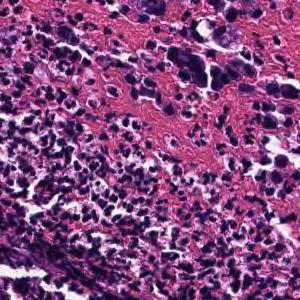
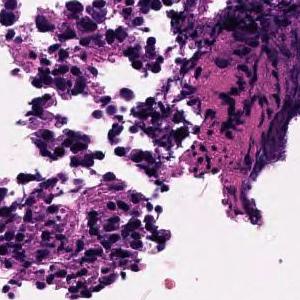
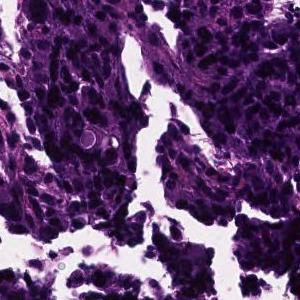
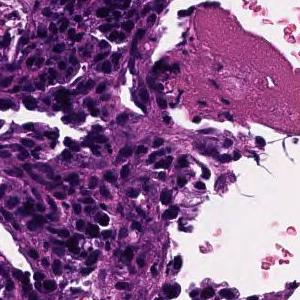
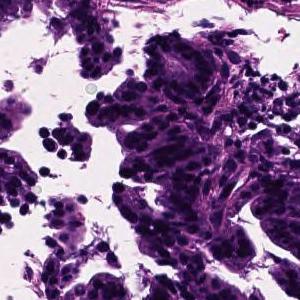
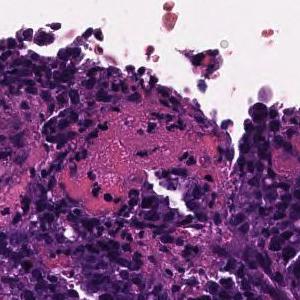
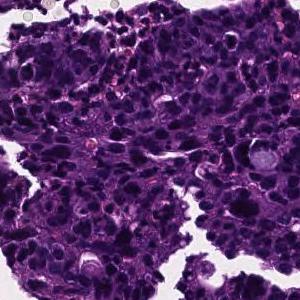
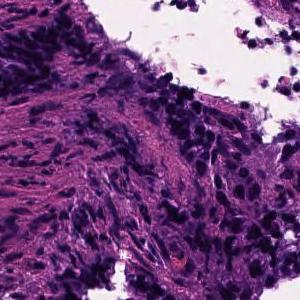
8 image tiles from a single gastric biopsy slide; 300×300 px each; H&E; 20× magnification.
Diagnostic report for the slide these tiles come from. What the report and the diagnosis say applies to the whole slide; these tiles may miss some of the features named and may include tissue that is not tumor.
In the superficial epithelium, tumor tissue that invades by forming medium-sized to small, irregular ducts is observed. moderately differentiated tubular adenocarcinoma.
